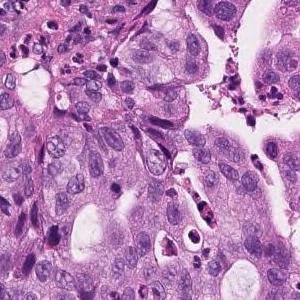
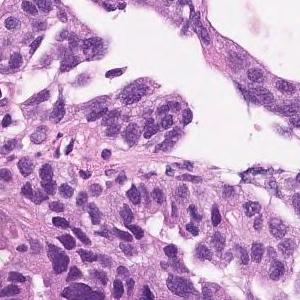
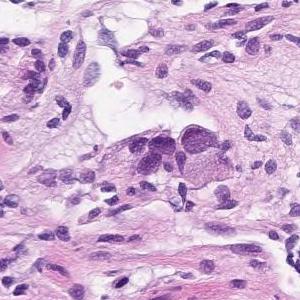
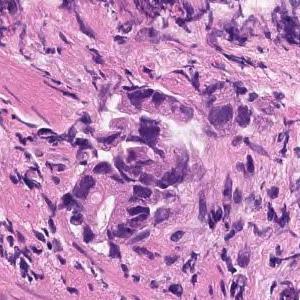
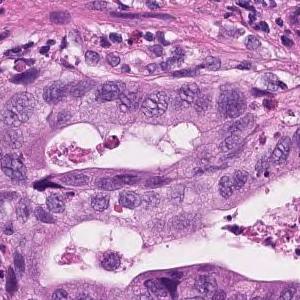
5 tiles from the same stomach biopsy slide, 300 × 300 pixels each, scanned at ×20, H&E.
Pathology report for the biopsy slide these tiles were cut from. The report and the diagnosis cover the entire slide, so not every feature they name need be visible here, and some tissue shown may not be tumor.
Atypical epithelium forming papillary or sieving ducts and infiltrating growth is observed. Papillary adenocarcinoma.
